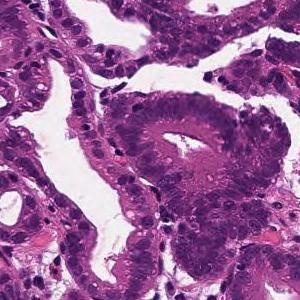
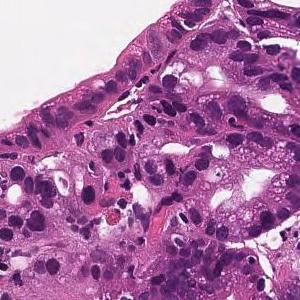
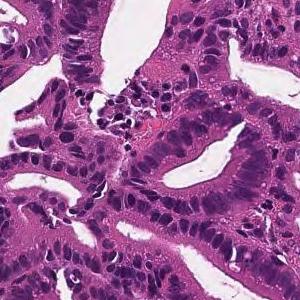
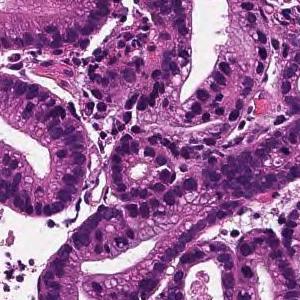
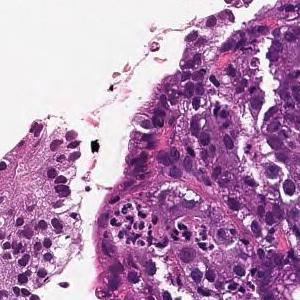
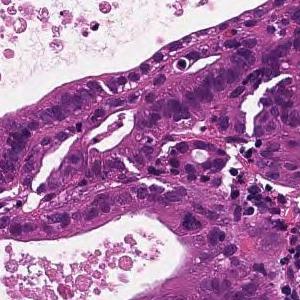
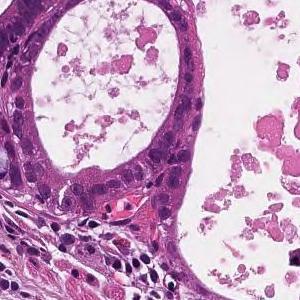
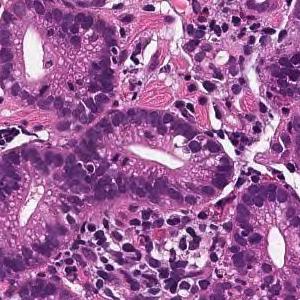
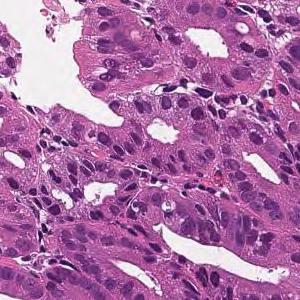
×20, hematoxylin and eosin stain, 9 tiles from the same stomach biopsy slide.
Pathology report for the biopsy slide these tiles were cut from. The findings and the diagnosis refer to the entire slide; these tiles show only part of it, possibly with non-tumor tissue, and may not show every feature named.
In the superficial epithelium, tumor tissue that invades by forming medium-sized to small, irregular ducts is observed. moderately differentiated tubular adenocarcinoma.
